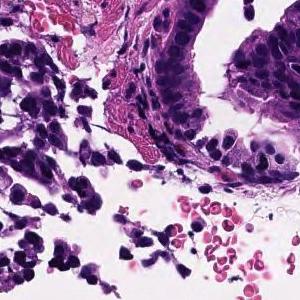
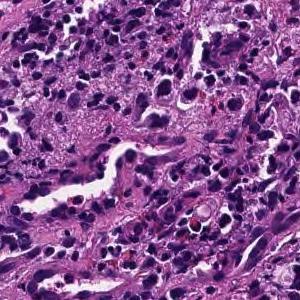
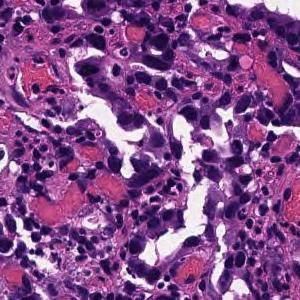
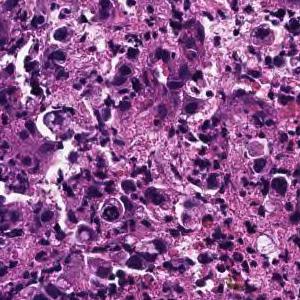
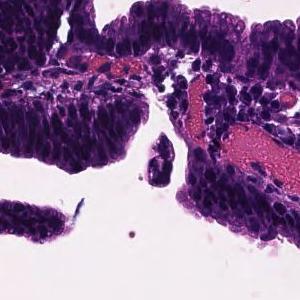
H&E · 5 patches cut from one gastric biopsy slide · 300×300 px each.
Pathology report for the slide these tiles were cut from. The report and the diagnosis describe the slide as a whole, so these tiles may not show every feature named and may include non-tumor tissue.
On the superficial epithelium, tumor tissue that infiltrates by forming medium-sized papillary or small irregular ducts is observed. Papillary adenocarcinoma
